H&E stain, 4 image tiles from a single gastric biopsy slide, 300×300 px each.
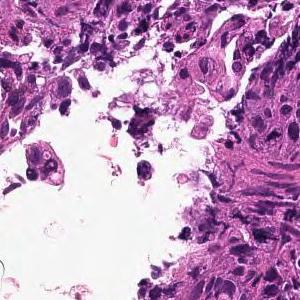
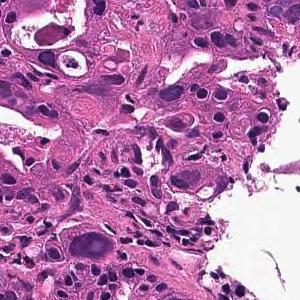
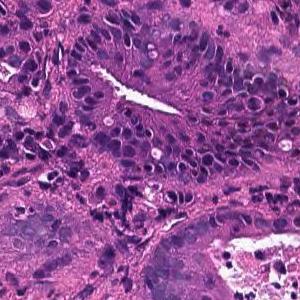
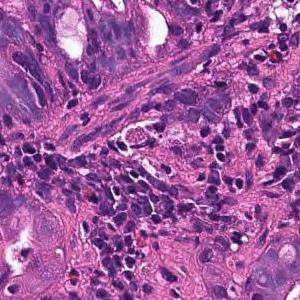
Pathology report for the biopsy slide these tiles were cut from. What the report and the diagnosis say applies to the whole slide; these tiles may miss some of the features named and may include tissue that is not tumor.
In the superficial epithelium, tumor tissue that invades by forming medium-sized to small, irregular ducts is observed. moderately differentiated tubular adenocarcinoma.
